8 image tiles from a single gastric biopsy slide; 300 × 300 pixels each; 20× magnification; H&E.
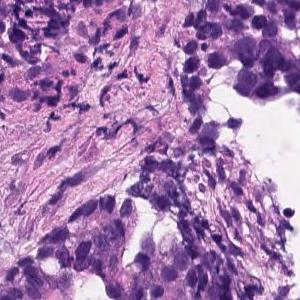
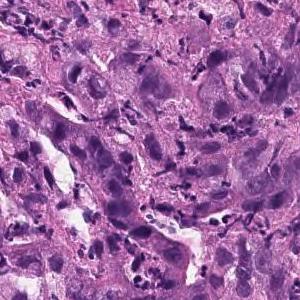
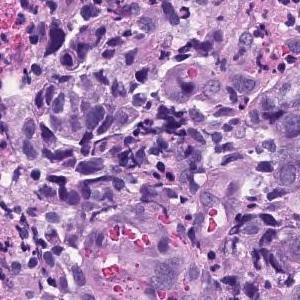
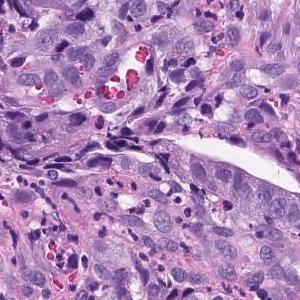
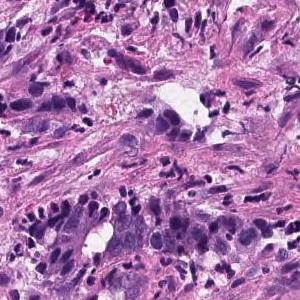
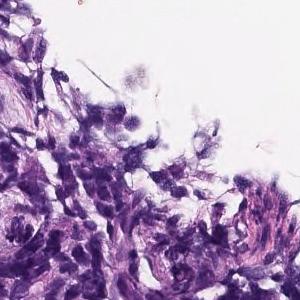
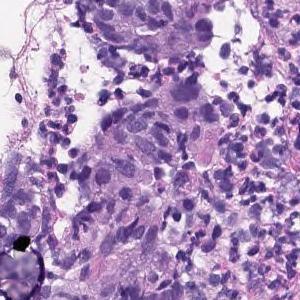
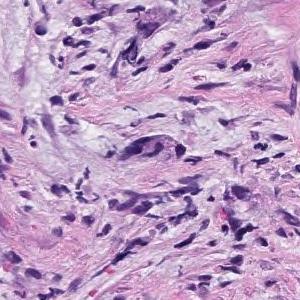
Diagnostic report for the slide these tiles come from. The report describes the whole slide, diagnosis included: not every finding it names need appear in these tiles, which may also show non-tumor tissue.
Medium to small, irregular glandular ducts are formed in the superficial epithelium, and in some cases, the glandular ducts are fused to show solid alveolar lesions and infiltrating tumor tissue is observed. Moderately to poorly differentiated adenocarcinoma.
